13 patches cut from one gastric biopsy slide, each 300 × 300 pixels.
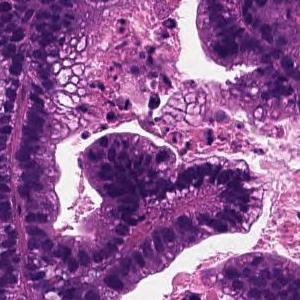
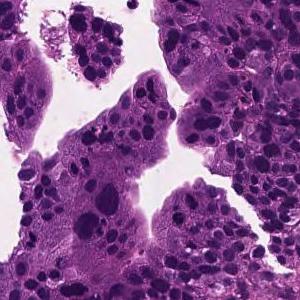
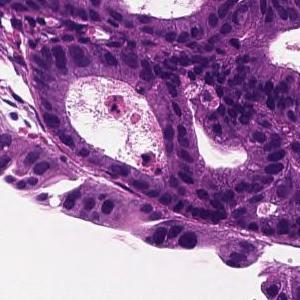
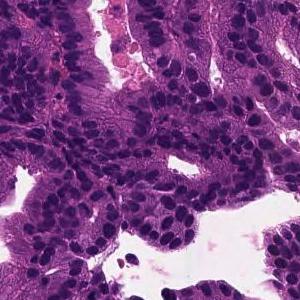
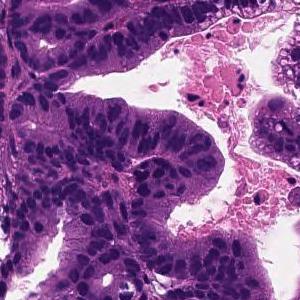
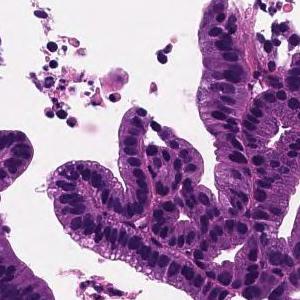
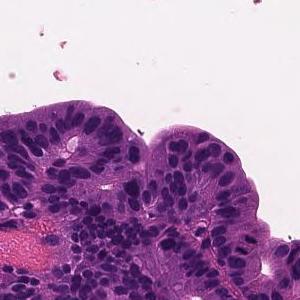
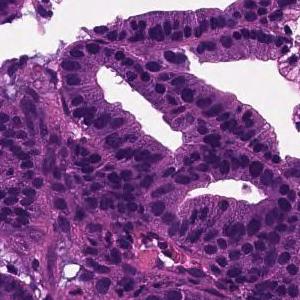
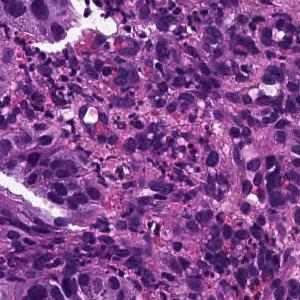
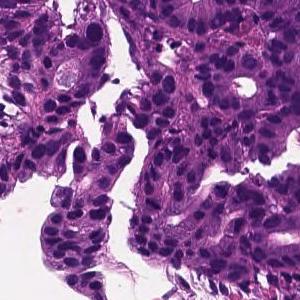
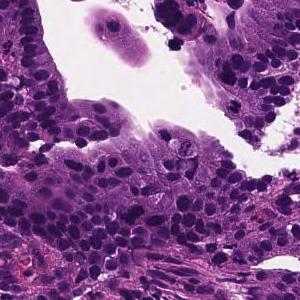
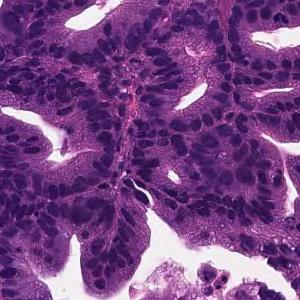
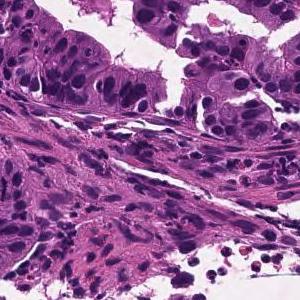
The pathologist's report on the biopsy slide these tiles were taken from. The findings and the diagnosis refer to the entire slide; these tiles show only part of it, possibly with non-tumor tissue, and may not show every feature named.
Tumor cells are large, highly columnar, large club-shaped nuclei, and are associated with chromatin aggregation. Papillary adenocarcinoma.
